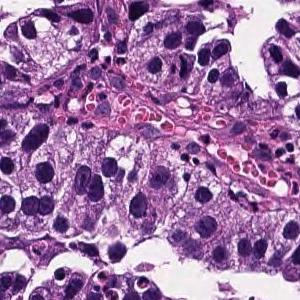
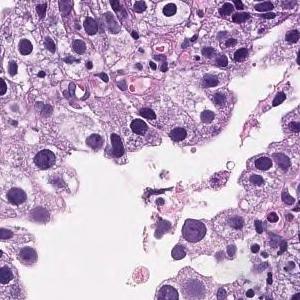
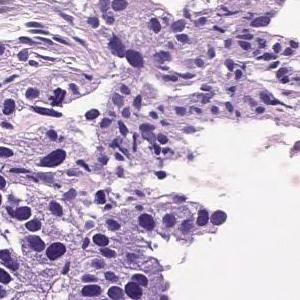
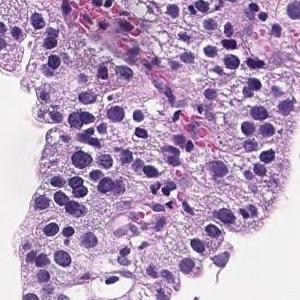
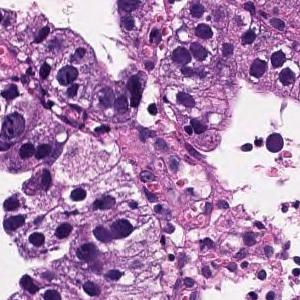
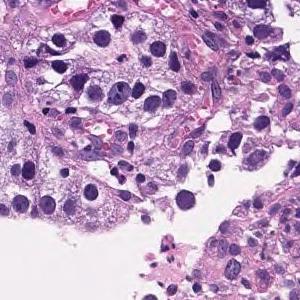
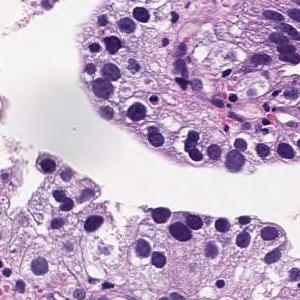
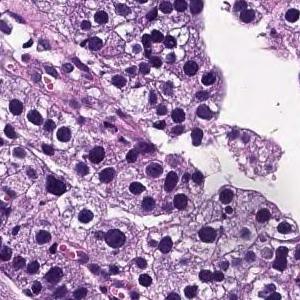
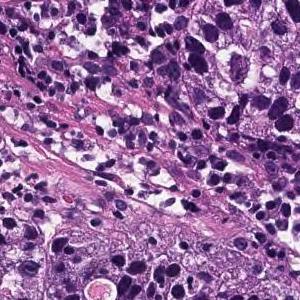
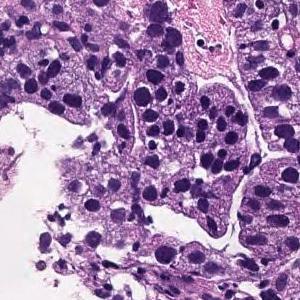
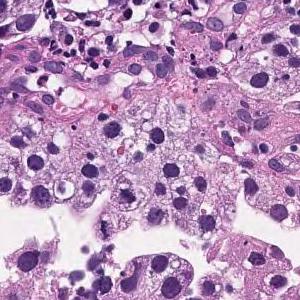
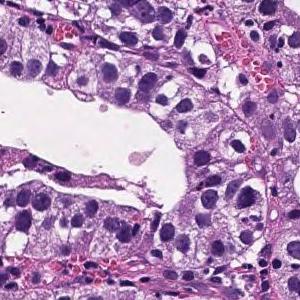
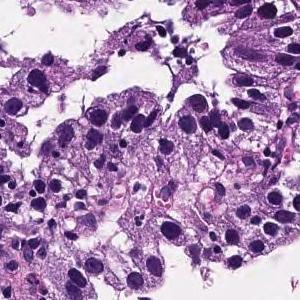
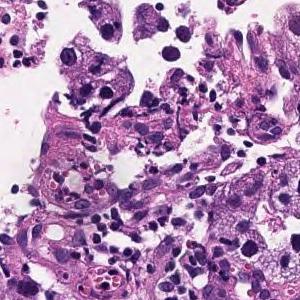
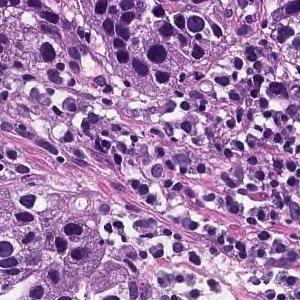
20× magnification, H&E, 15 patches cut from one gastric biopsy slide, each 300 × 300 pixels.
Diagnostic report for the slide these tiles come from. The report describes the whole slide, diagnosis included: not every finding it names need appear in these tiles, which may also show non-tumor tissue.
On the superficial epithelium, tumor tissue that infiltrates by forming medium-sized papillary or small irregular ducts is observed. Papillary adenocarcinoma
